13 image tiles from a single gastric biopsy slide, H&E.
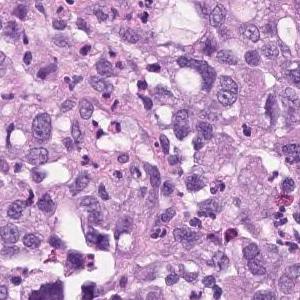
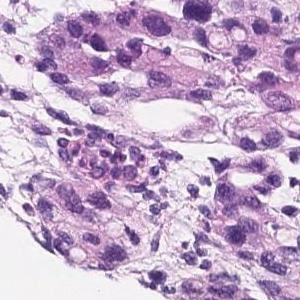
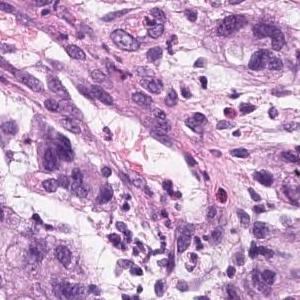
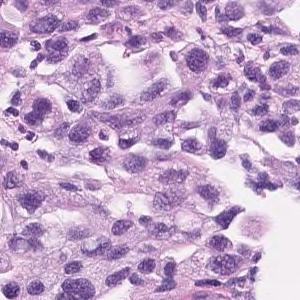
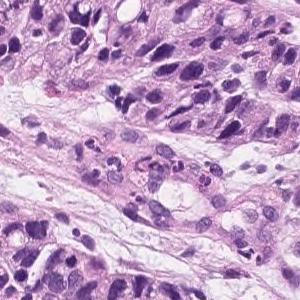
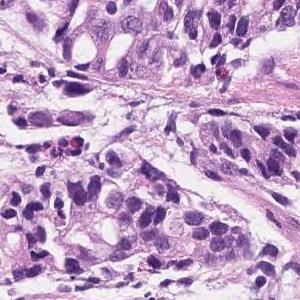
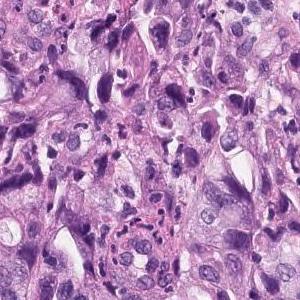
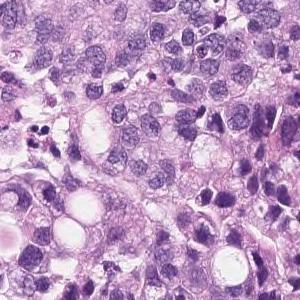
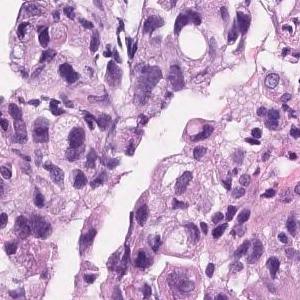
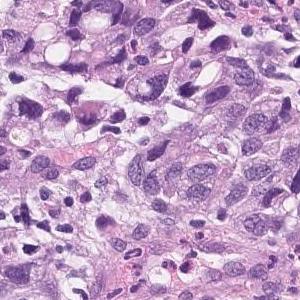
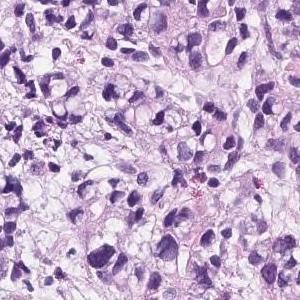
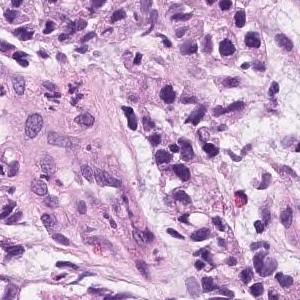
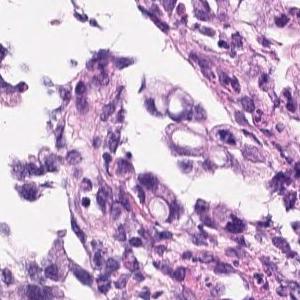
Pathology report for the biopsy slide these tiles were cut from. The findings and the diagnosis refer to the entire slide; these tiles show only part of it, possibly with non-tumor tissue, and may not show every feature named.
Group 5, Adenocarcinoma. Poorly differentiated adenocarcinoma, non-solid type
"Non-solid type" is a category of the Japanese Classification of Gastric Carcinoma.
